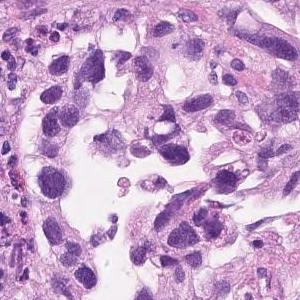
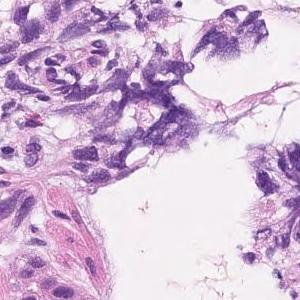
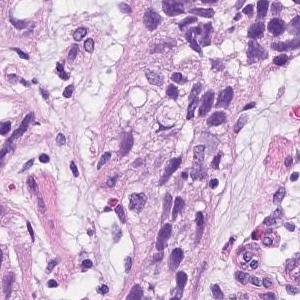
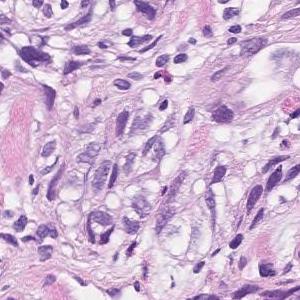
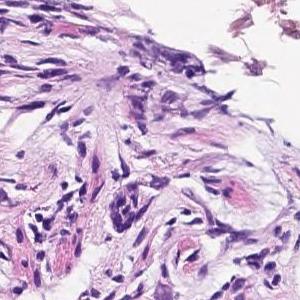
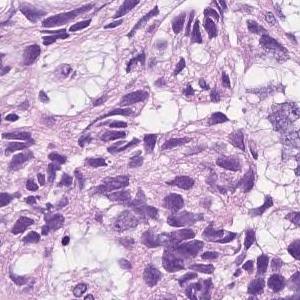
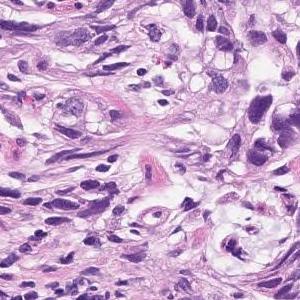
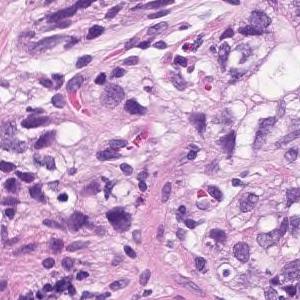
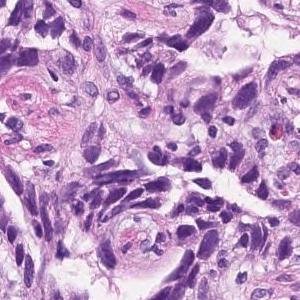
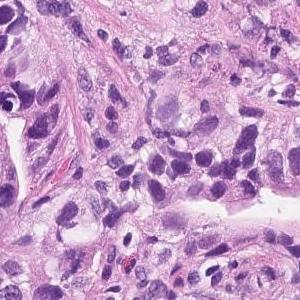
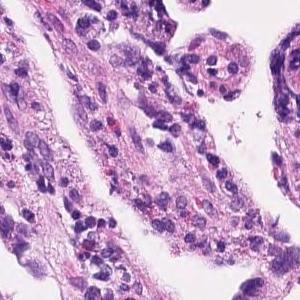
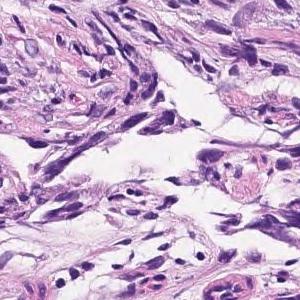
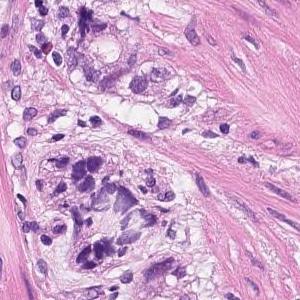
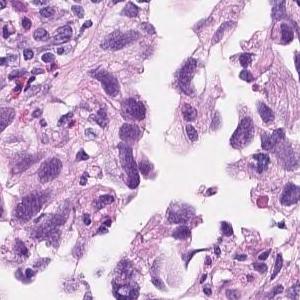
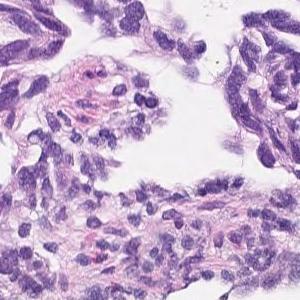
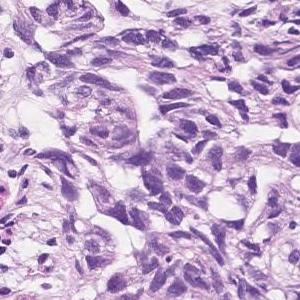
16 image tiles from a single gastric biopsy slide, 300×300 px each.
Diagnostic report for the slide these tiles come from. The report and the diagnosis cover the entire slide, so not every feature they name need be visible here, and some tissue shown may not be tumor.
In the superficial epithelium, tumor tissue that invades by forming medium-sized to small, irregular ducts is observed. Moderately differentiated adenocarcinoma.
Histological subtype: Moderately differentiated tubular adenocarcinoma.
